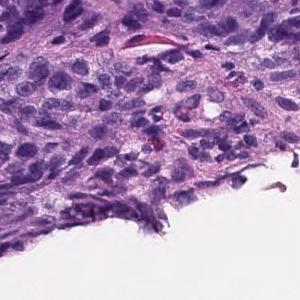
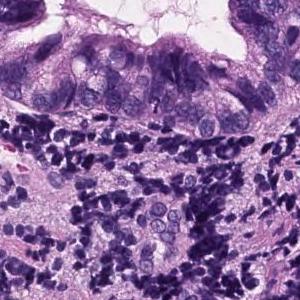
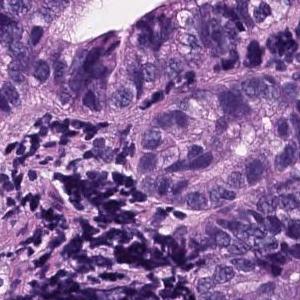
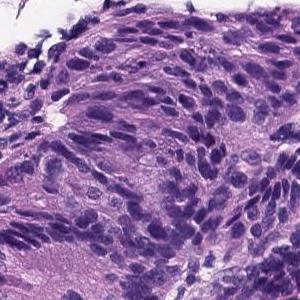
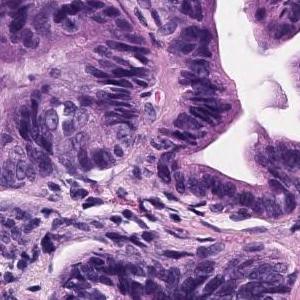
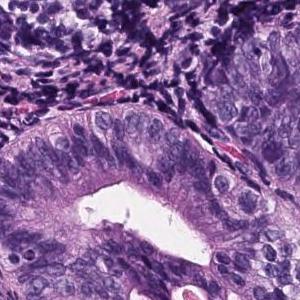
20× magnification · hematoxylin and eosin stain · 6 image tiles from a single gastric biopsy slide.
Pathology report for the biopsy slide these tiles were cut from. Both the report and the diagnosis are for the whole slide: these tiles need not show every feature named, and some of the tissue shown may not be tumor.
In the gastric mucosa, there is a dense proliferation of strong atypical tubules of nuclear atypia. Well differentiated adenocarcinoma.
Histologic type: Well differentiated tubular adenocarcinoma.
